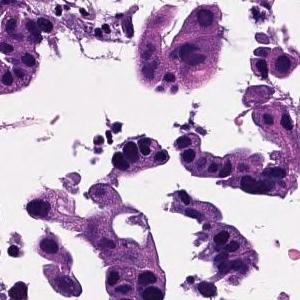
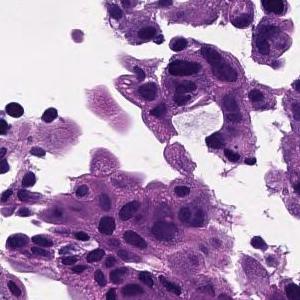
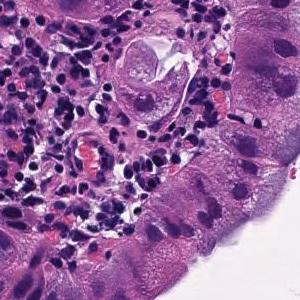
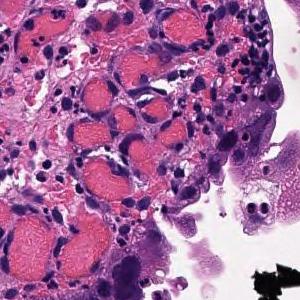
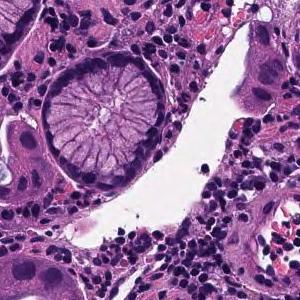
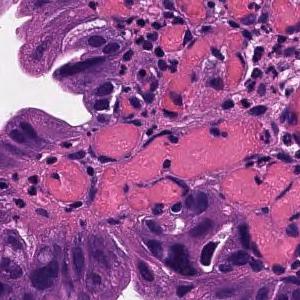
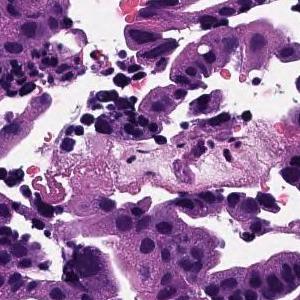
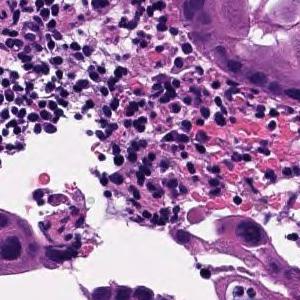
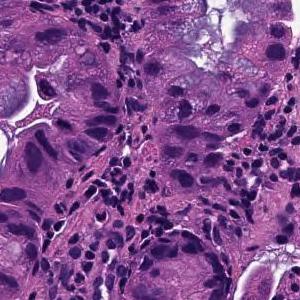
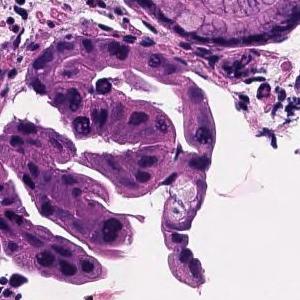
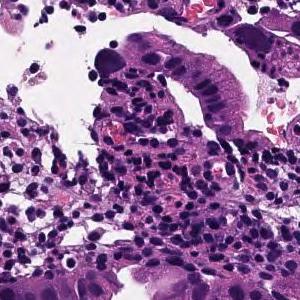
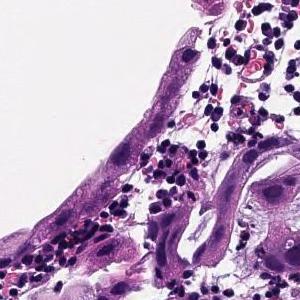
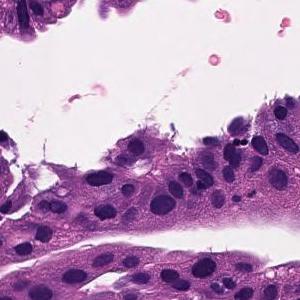
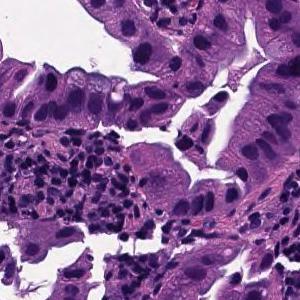
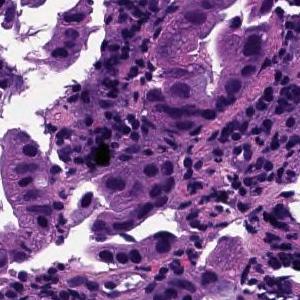
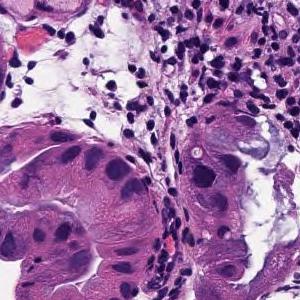
16 tiles from the same stomach biopsy slide; hematoxylin and eosin stain.
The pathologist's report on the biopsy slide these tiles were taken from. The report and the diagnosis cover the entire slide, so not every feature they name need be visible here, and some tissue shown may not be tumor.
Tumor tissue consisting of large papillary structures is found in the superficial epithelium. Papillary adenocarcinoma.
